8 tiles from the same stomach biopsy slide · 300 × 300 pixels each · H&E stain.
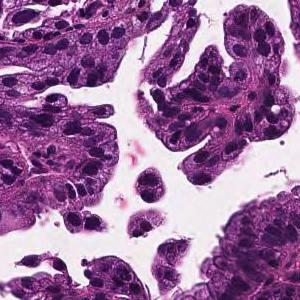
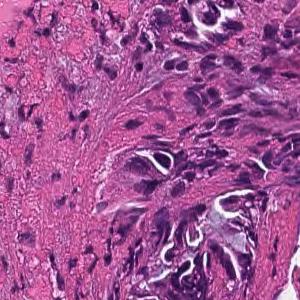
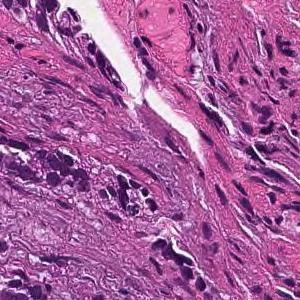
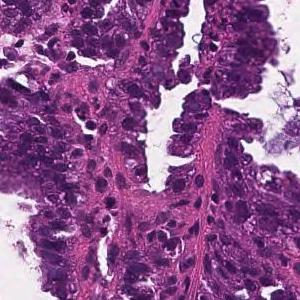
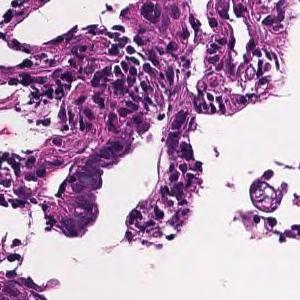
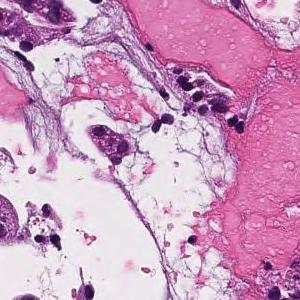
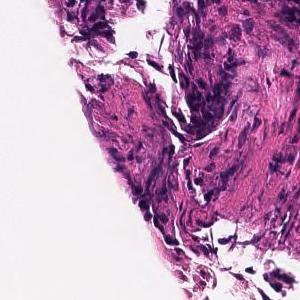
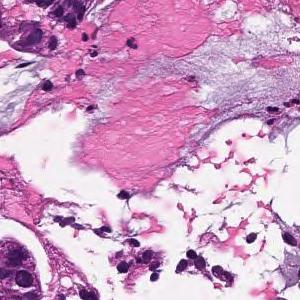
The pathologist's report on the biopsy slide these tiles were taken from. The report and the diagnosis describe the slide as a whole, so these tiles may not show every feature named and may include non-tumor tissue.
Tumor cells are large, highly columnar, large club-shaped nuclei, and are associated with chromatin aggregation. Papillary adenocarcinoma.
